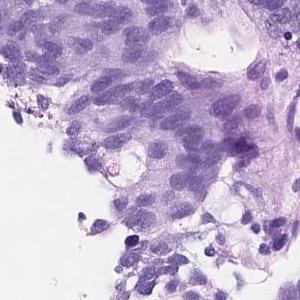
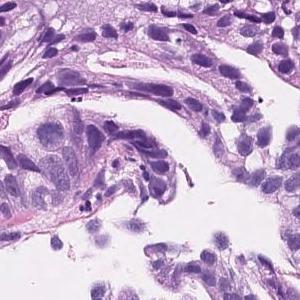
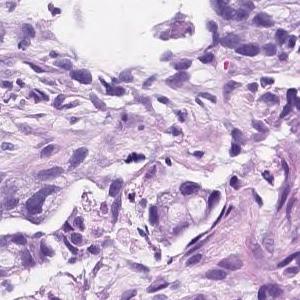
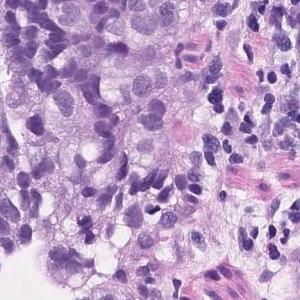
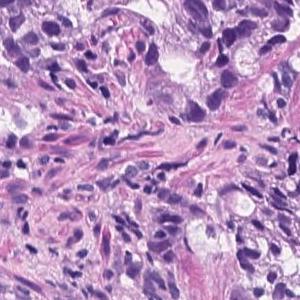
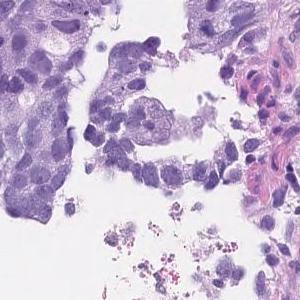
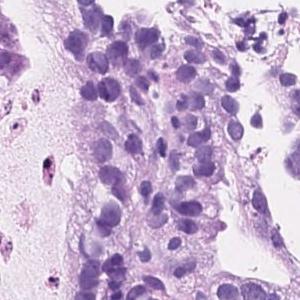
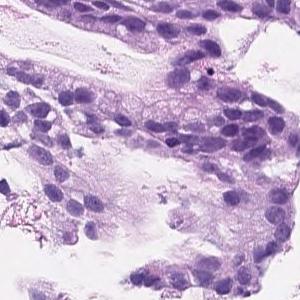
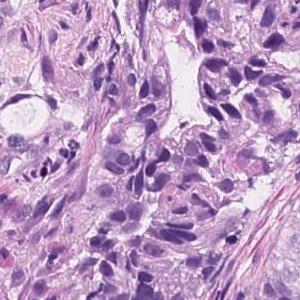
Hematoxylin and eosin stain · ×20 · 9 tiles from the same stomach biopsy slide · 300 × 300 pixels each.
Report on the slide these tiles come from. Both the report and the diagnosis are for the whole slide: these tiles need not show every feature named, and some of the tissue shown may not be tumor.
On the superficial epithelium, tumor tissue consisting of an image of large, irregular glandular ducts partially fused and infiltrated is observed. Well to moderately differentiated tubular adenocarcinoma
